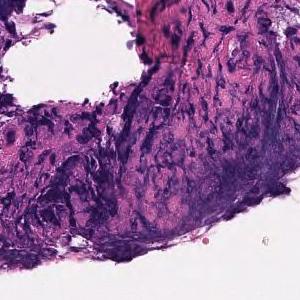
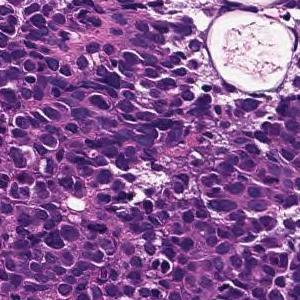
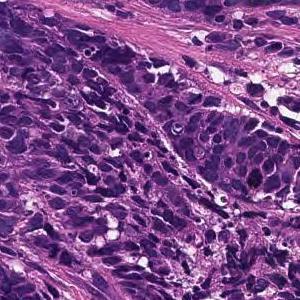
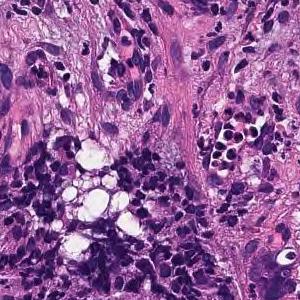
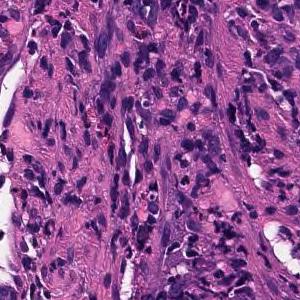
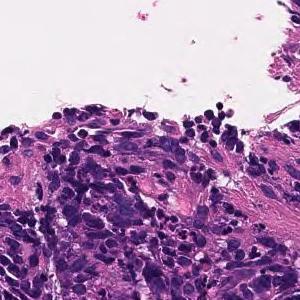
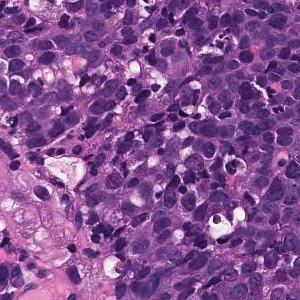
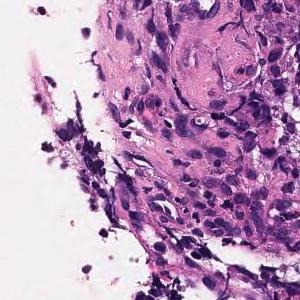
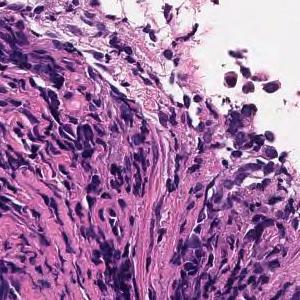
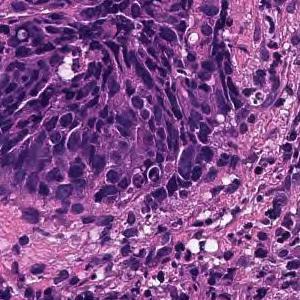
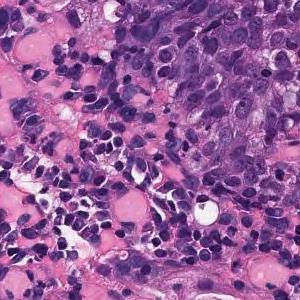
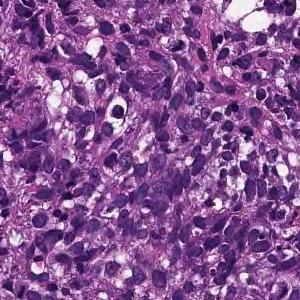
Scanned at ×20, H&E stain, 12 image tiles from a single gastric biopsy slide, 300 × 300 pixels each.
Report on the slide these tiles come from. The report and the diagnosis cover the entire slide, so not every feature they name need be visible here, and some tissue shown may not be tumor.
Large sheet-like or diffusely infiltrating tumor tissue is found in the superficial epithelium. Poorly differentiated adenocarcinoma, solid-type
Subtype: Poorly differentiated adenocarcinoma, solid type (Japanese Classification of Gastric Carcinoma). The WHO 2019 equivalent is tubular adenocarcinoma, poorly differentiated.
